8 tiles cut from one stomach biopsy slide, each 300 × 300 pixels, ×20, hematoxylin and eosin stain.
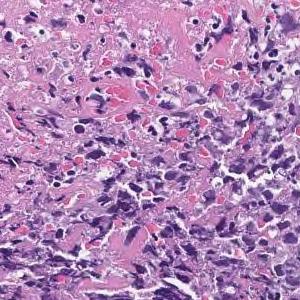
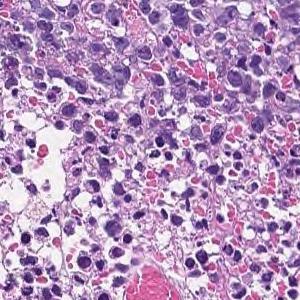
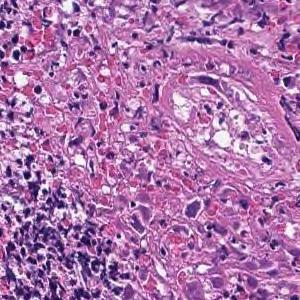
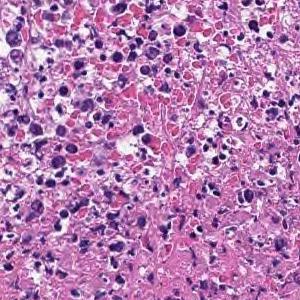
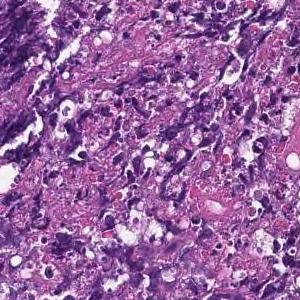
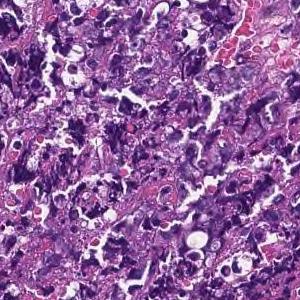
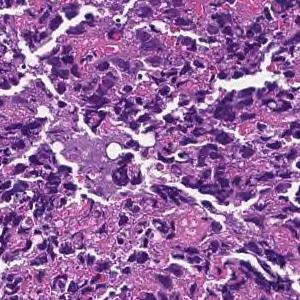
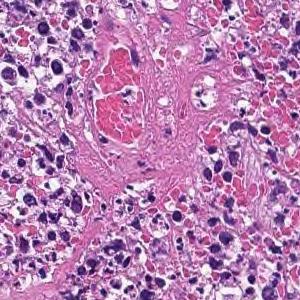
Report on the slide these tiles come from. The report and the diagnosis describe the slide as a whole, so these tiles may not show every feature named and may include non-tumor tissue.
Most are composed of coagulative necrotic tissue, but some show a large sheet-like shape, and some show tumor tissue infiltrating with a small cord-like structure. Poorly differentiated adenocarcinoma, solid-type
Histologic type: Poorly differentiated adenocarcinoma, solid type (Japanese Classification of Gastric Carcinoma). The WHO 2019 equivalent is tubular adenocarcinoma, poorly differentiated.
